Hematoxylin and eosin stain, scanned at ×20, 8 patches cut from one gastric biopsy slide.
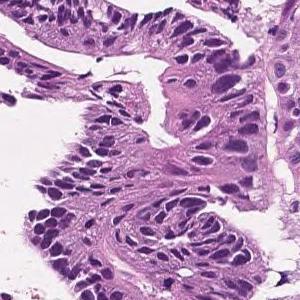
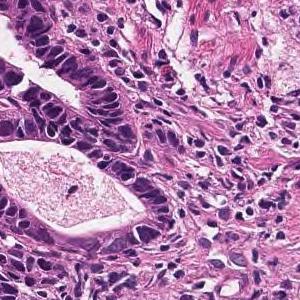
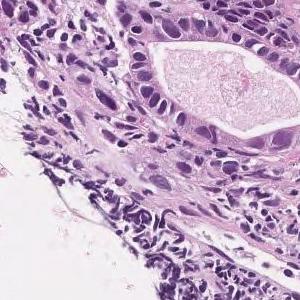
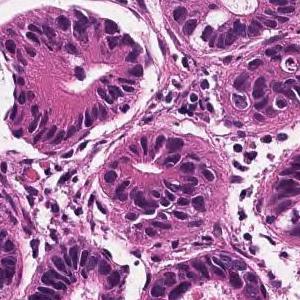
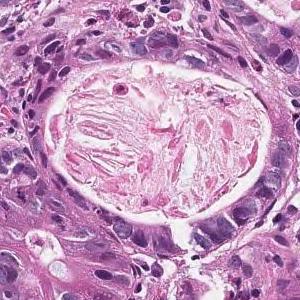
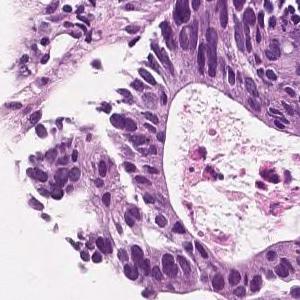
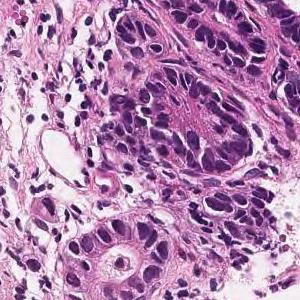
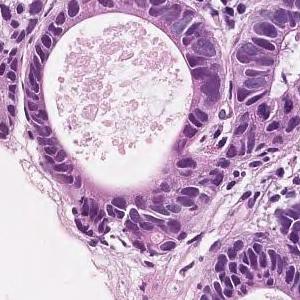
The pathologist's report on the biopsy slide these tiles were taken from. The report and the diagnosis cover the entire slide, so not every feature they name need be visible here, and some tissue shown may not be tumor.
In the superficial epithelium, tumor tissue that invades by forming medium-sized to small, irregular ducts is observed. Well differentiated tubular adenocarcinoma.
